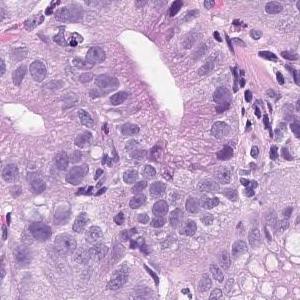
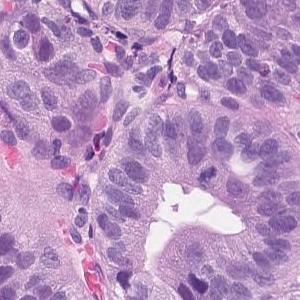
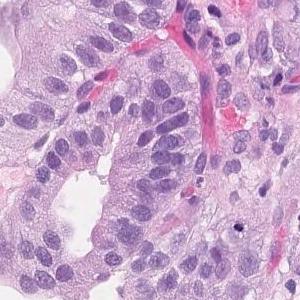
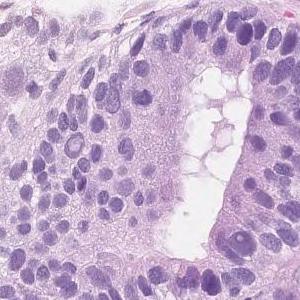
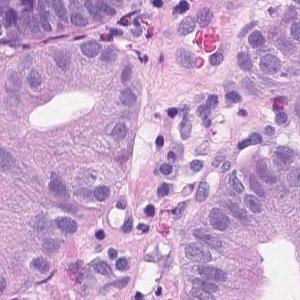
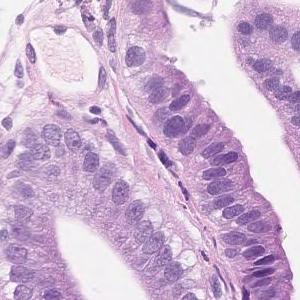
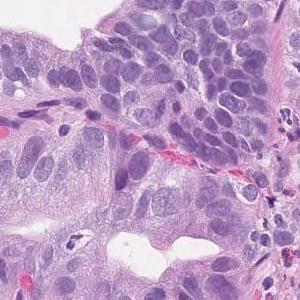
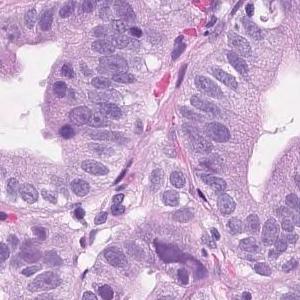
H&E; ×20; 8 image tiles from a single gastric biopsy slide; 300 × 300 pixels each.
The pathologist's report on the biopsy slide these tiles were taken from. The report describes the whole slide, diagnosis included: not every finding it names need appear in these tiles, which may also show non-tumor tissue.
Tumor tissue consisting of medium-sized and irregular ducts is observed infiltrating in the superficial epithelium. Tumor cells are highly columnar, with nuclei aligned basolaterally and polarized. Well differentiated tubular adenocarcinoma.
